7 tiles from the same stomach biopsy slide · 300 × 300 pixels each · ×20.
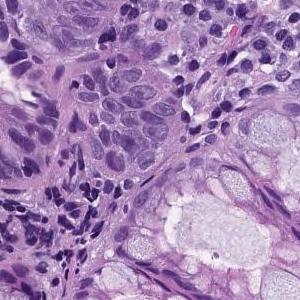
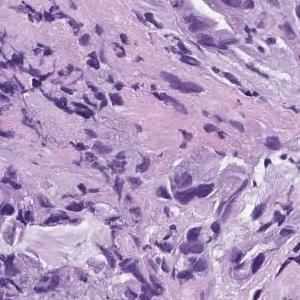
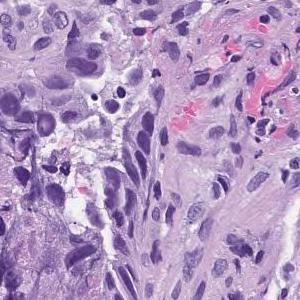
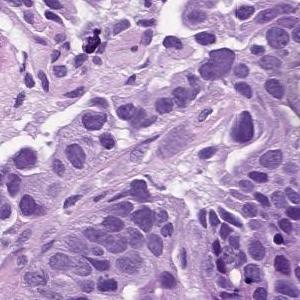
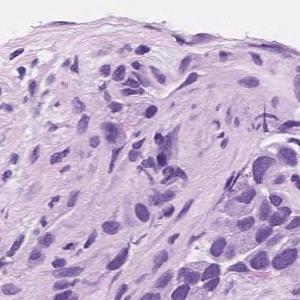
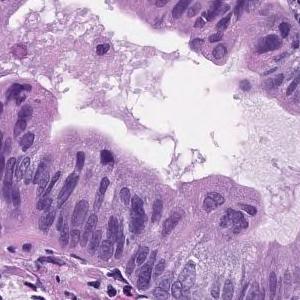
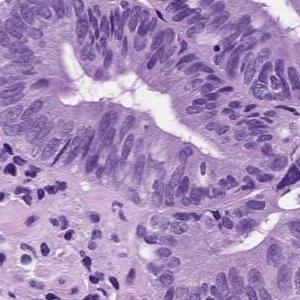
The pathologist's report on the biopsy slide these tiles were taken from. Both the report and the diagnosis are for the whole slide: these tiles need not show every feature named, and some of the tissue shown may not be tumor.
In the superficial epithelium, tumor tissue that invades by forming medium-sized to small, irregular ducts is observed. moderately differentiated tubular adenocarcinoma.
